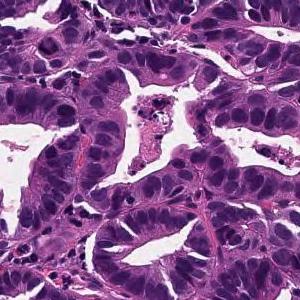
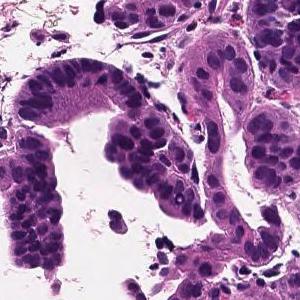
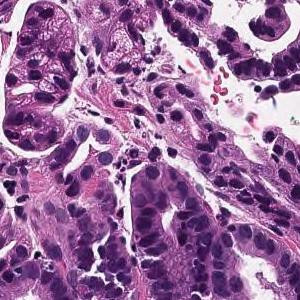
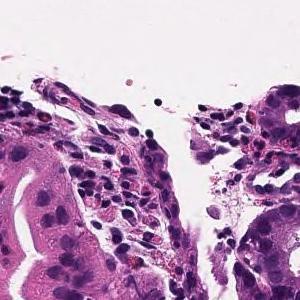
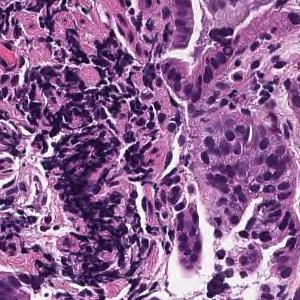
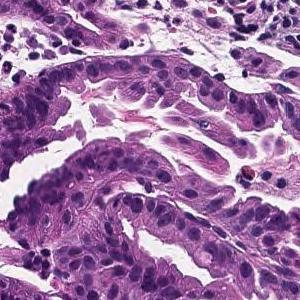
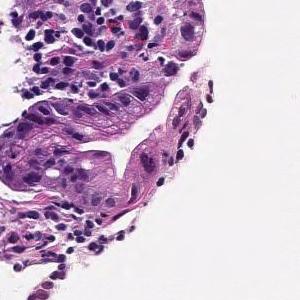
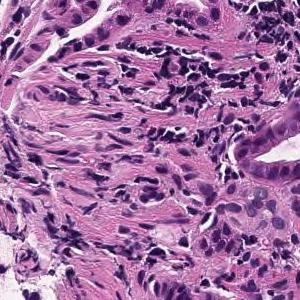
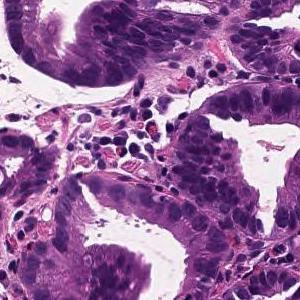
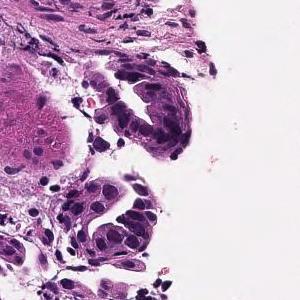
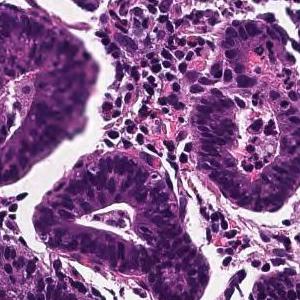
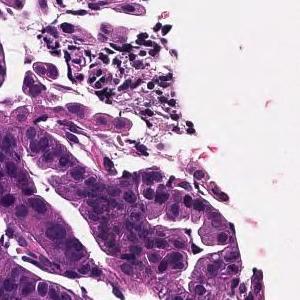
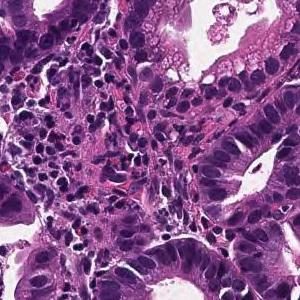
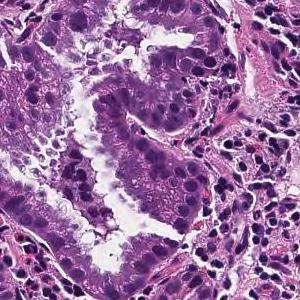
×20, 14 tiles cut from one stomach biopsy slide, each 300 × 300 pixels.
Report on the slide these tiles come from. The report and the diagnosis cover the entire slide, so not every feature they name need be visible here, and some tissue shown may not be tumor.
From the superficial epithelium to the muscularis mucosae, tumor tissue that invades by forming medium-sized to small irregular gland ducts is observed. Well differentiated tubular adenocarcinoma (well differentiated tubular adenocarcinoma)
Subtype: Well differentiated tubular adenocarcinoma.
